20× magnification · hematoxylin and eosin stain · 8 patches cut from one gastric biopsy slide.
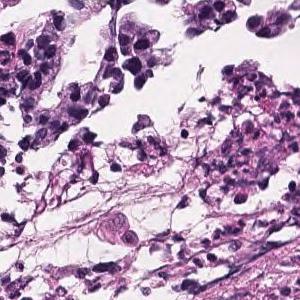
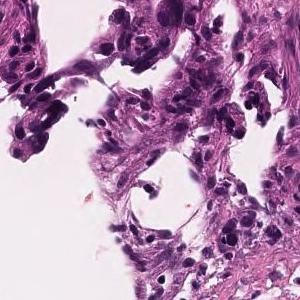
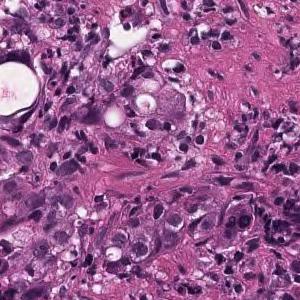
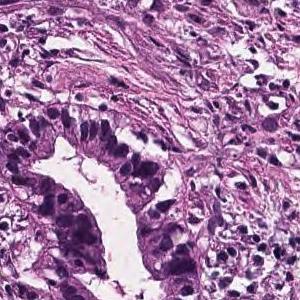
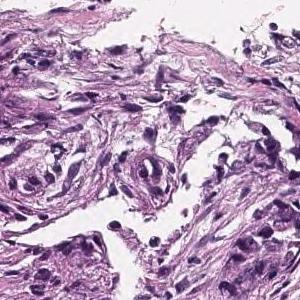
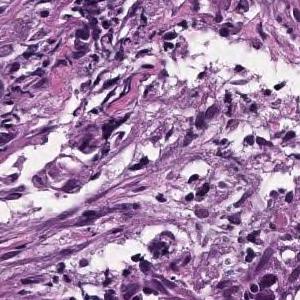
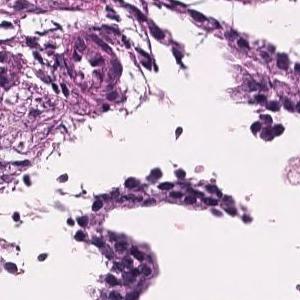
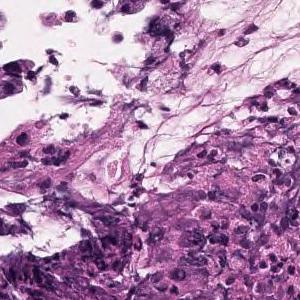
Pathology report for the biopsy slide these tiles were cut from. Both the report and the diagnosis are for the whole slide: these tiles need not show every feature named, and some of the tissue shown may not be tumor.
In the superficial epithelium, tumor tissue that invades by forming medium-sized to small, irregular ducts is observed. moderately differentiated tubular adenocarcinoma.
